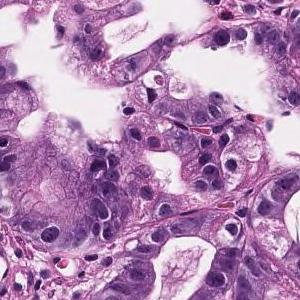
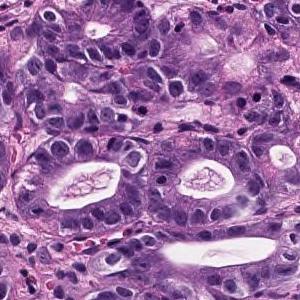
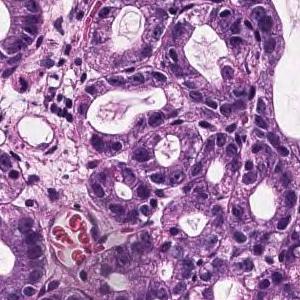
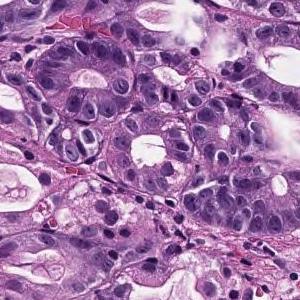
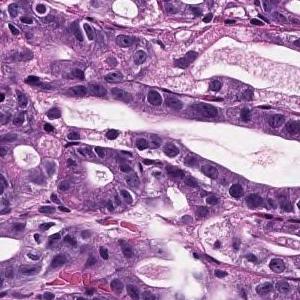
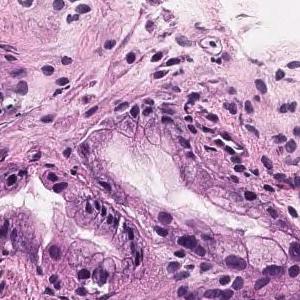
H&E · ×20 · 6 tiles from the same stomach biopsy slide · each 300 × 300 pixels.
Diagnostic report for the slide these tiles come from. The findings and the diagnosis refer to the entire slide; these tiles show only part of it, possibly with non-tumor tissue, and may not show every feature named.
On the superficial epithelium, tumor tissue that infiltrates by forming medium-sized round or small irregular ducts is observed. Papillary adenocarcinoma
